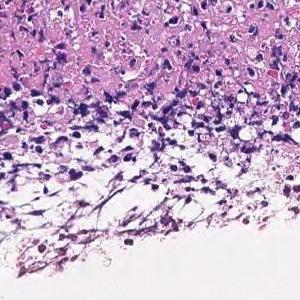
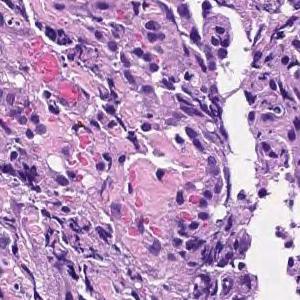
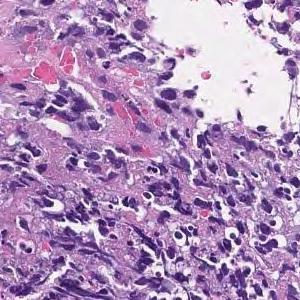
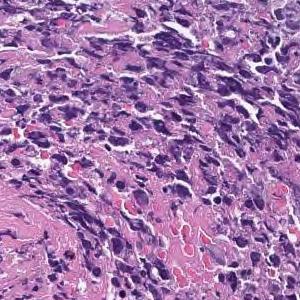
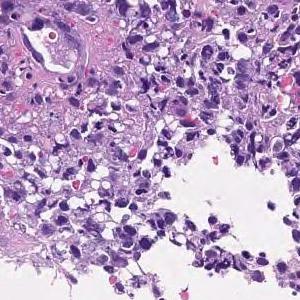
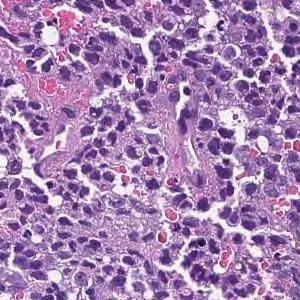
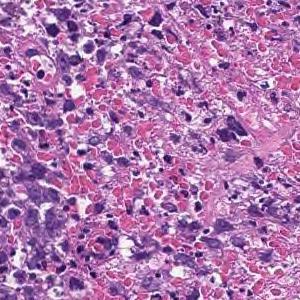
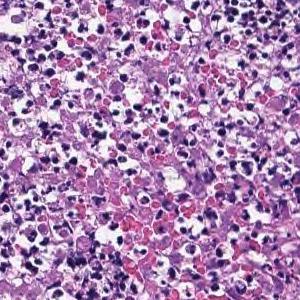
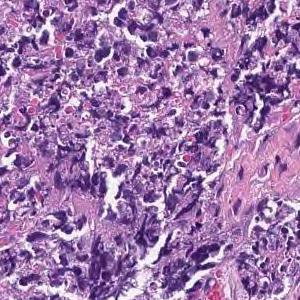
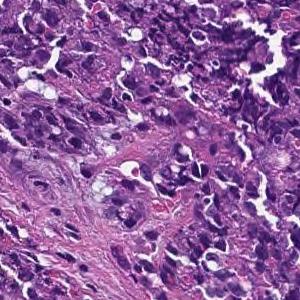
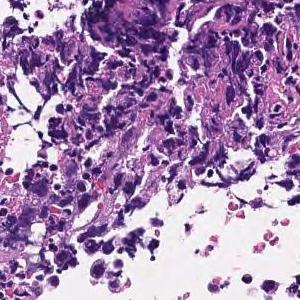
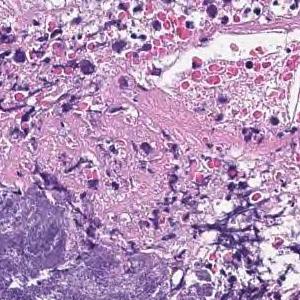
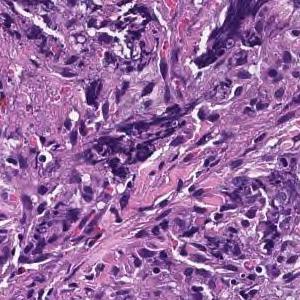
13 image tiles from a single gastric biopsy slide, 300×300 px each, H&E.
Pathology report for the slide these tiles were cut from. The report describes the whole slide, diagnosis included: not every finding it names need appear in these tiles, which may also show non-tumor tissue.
Most are composed of coagulative necrotic tissue, but some show a large sheet-like shape, and some show tumor tissue infiltrating with a small cord-like structure. Poorly differentiated adenocarcinoma, solid-type
Classified as poorly differentiated adenocarcinoma, solid type. This name comes from the Japanese Classification of Gastric Carcinoma; the WHO 2019 classification calls it tubular adenocarcinoma, poorly differentiated.
